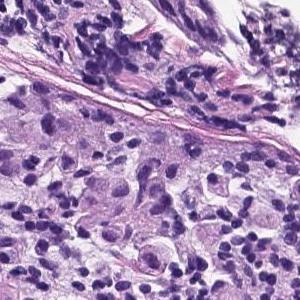
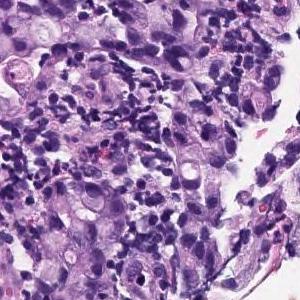
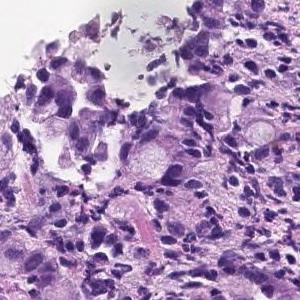
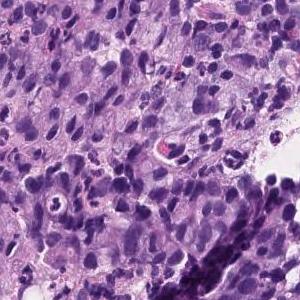
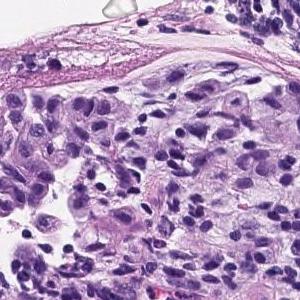
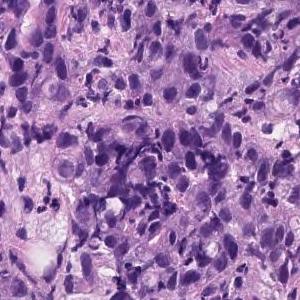
6 patches cut from one gastric biopsy slide, H&E stain.
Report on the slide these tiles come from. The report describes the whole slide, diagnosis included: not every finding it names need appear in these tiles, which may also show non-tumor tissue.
Diffusely growing signet-ring cells are found in the lamina propria. Signet ring cell carcinoma.
